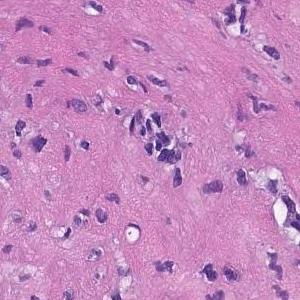
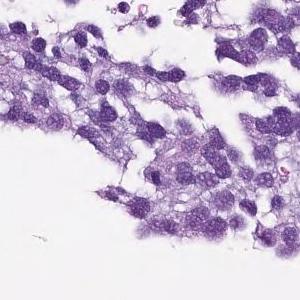
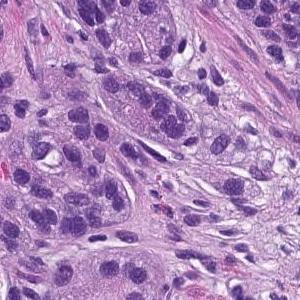
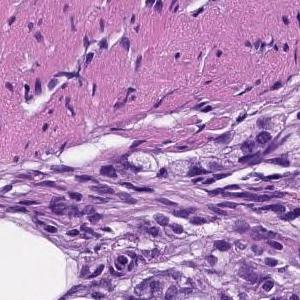
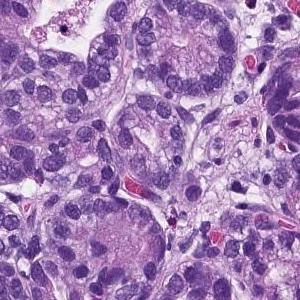
5 patches cut from one gastric biopsy slide.
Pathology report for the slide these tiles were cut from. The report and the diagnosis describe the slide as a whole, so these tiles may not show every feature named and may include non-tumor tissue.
From the superficial epithelium to the muscularis mucosae, tumor tissue consisting of medium-sized and irregular glandular ducts infiltrating is observed. Well differentiated tubular adenocarcinoma
